20× magnification, hematoxylin and eosin stain, 12 tiles from the same stomach biopsy slide, 300 × 300 pixels each.
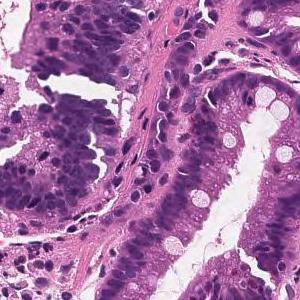
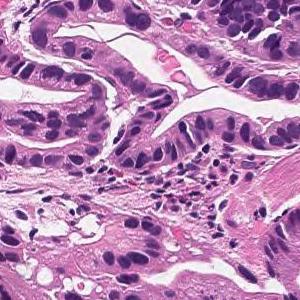
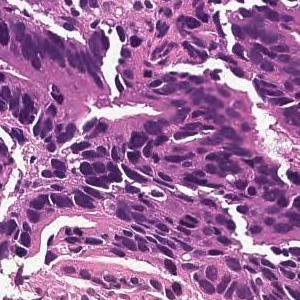
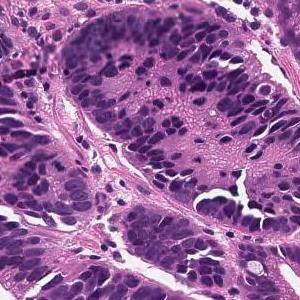
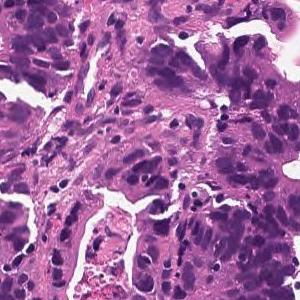
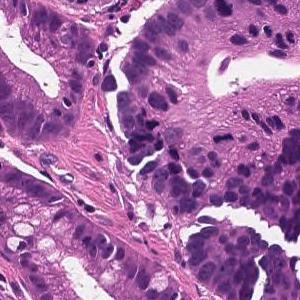
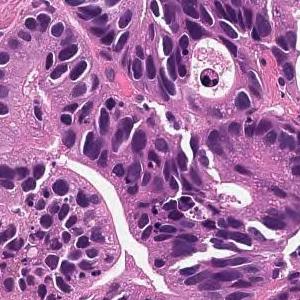
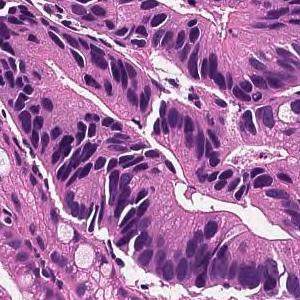
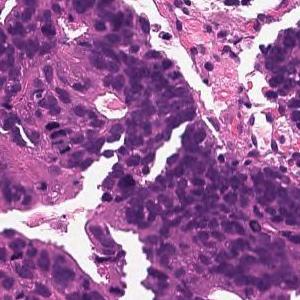
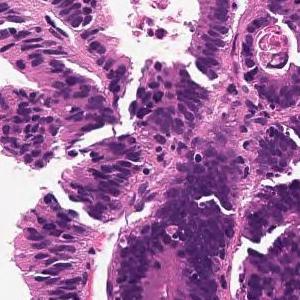
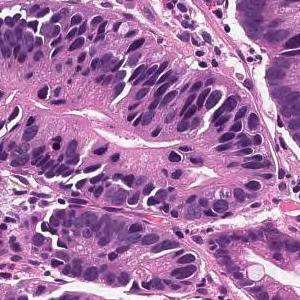
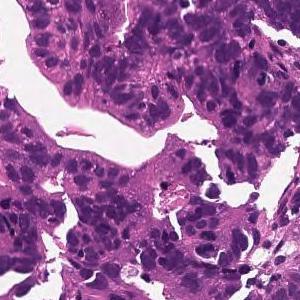
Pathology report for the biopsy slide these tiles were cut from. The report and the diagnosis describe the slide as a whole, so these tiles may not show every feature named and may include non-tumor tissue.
Tumor cells are large, highly columnar, large club-shaped nuclei, and are associated with chromatin aggregation. Papillary adenocarcinoma.
